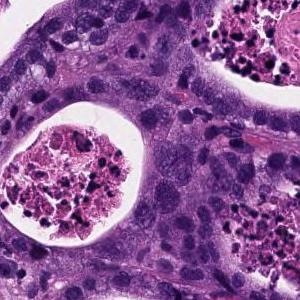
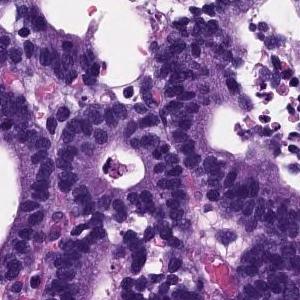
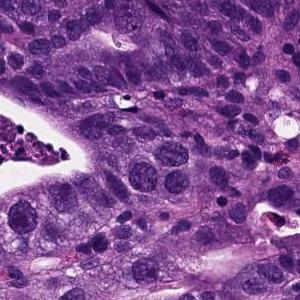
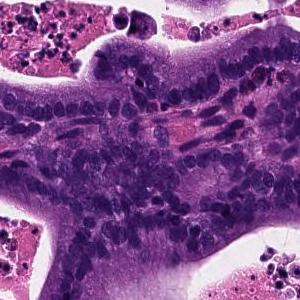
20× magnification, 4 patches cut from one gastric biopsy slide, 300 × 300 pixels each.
The pathologist's report on the biopsy slide these tiles were taken from. The report and the diagnosis cover the entire slide, so not every feature they name need be visible here, and some tissue shown may not be tumor.
From the superficial epithelium to the muscularis mucosae, tumor tissue consisting of medium-sized and irregular glandular ducts infiltrating is observed. Well differentiated tubular adenocarcinoma
